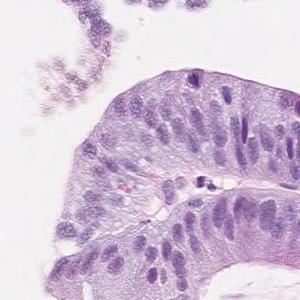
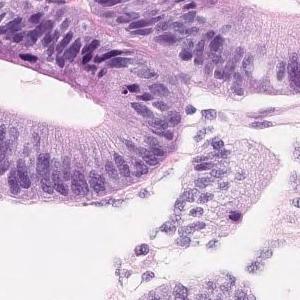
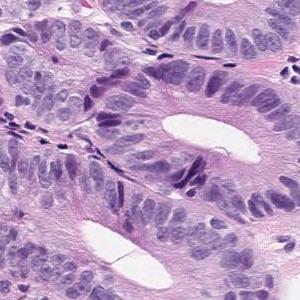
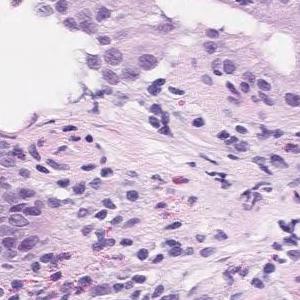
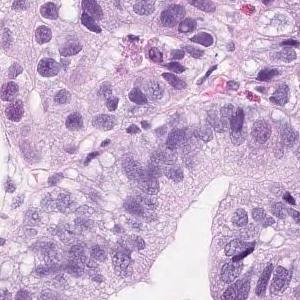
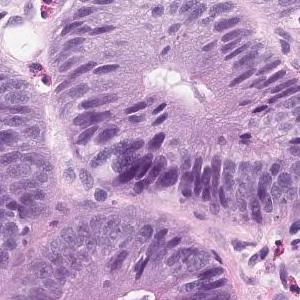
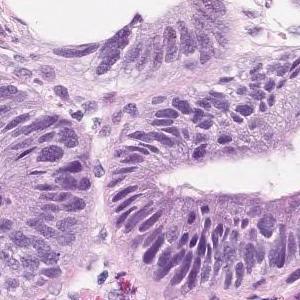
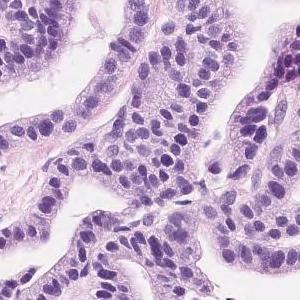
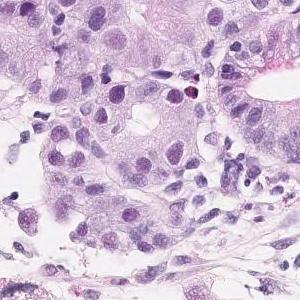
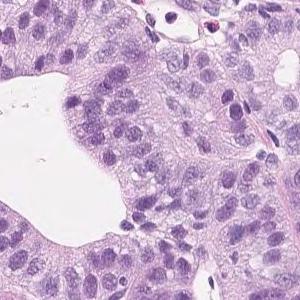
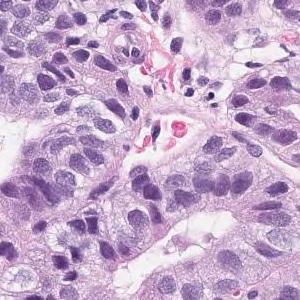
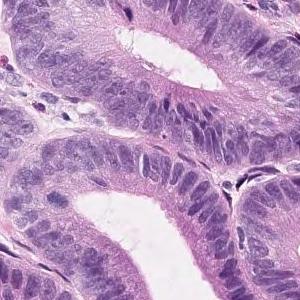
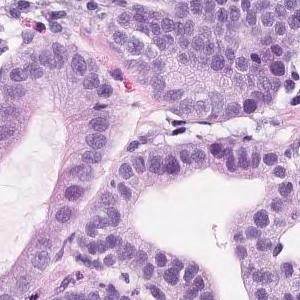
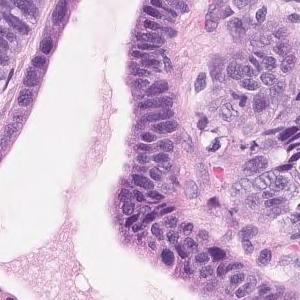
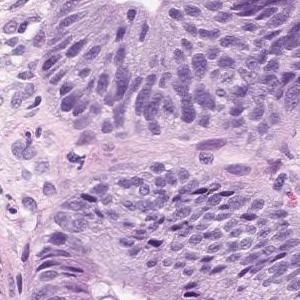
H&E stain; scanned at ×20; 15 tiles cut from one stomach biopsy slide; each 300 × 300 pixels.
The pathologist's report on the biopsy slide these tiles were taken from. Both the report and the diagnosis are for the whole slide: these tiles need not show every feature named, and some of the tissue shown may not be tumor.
Short atypical epithelium with swelling of the nucleus shows proliferating, large and small irregular ductal structures. Well to moderately differentiated tubular adenocarcinoma (well differentiated tubular adenocarcinoma-moderately differentiated tubular adenocarcinoma)
Subtype: Well to moderately differentiated tubular adenocarcinoma.
